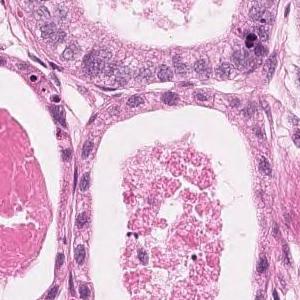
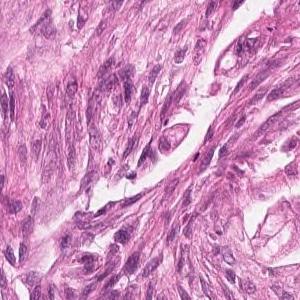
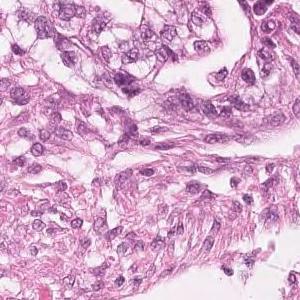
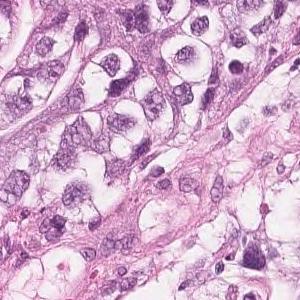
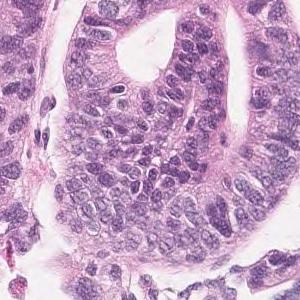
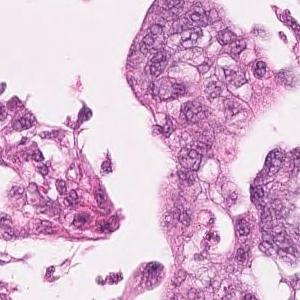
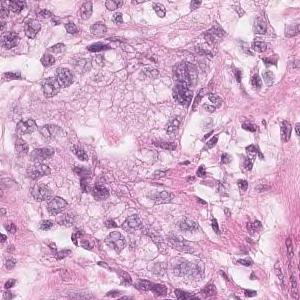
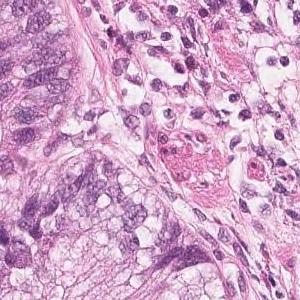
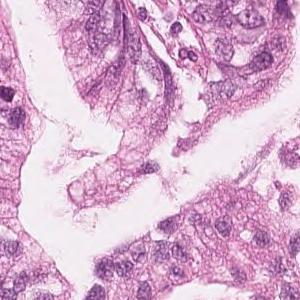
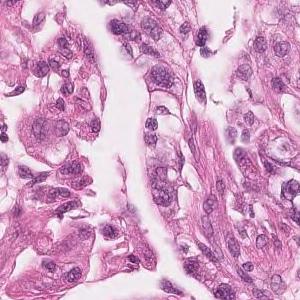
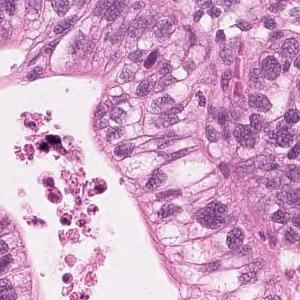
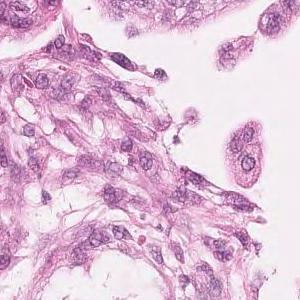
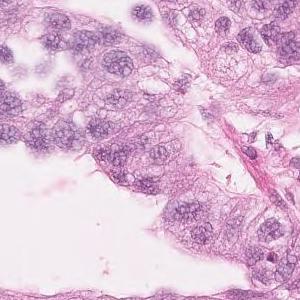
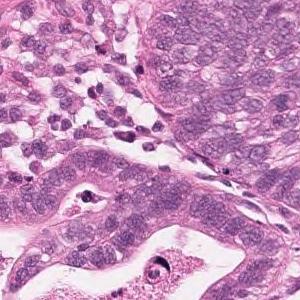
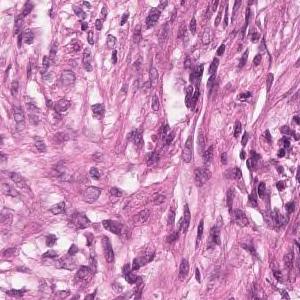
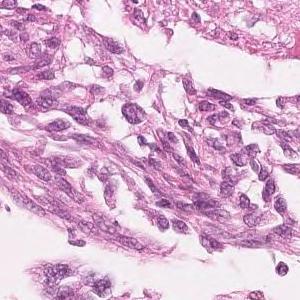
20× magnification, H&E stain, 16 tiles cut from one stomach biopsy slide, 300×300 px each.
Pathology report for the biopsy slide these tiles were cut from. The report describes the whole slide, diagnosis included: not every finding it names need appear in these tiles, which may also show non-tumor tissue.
Highly columnar epithelium with disordered nuclear localization proliferates showing fusion ductal construction. moderately differentiated tubular adenocarcinoma
